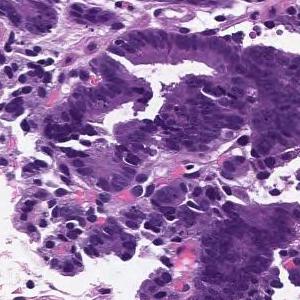
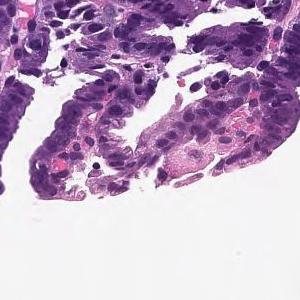
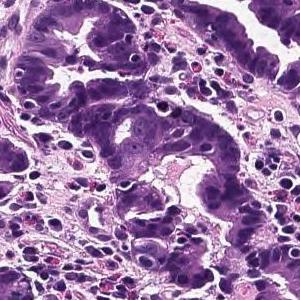
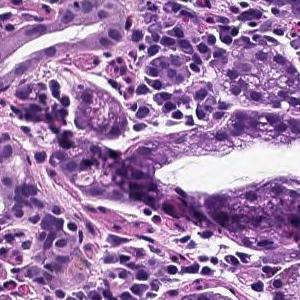
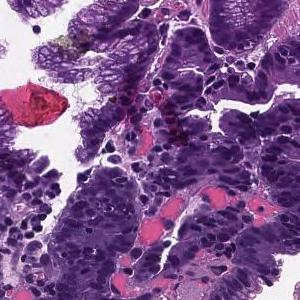
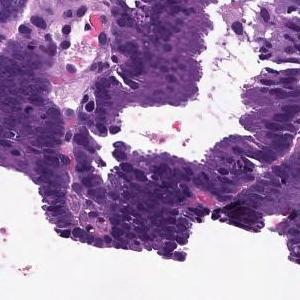
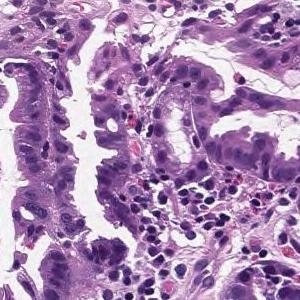
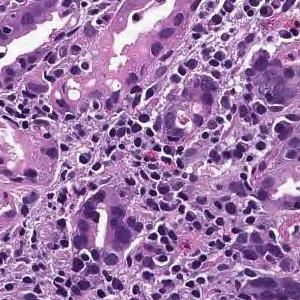
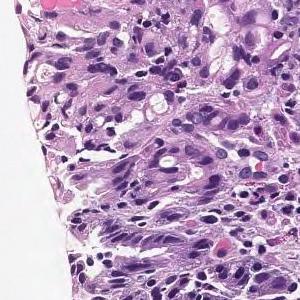
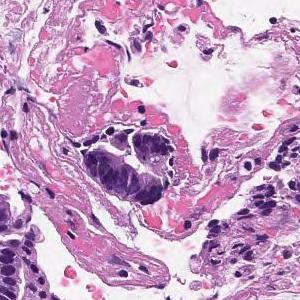
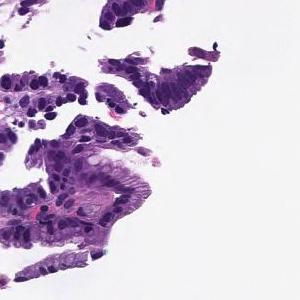
11 tiles cut from one stomach biopsy slide, each 300 × 300 pixels, 20× magnification.
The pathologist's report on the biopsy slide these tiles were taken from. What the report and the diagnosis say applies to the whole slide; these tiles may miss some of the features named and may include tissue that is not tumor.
In the superficial epithelium, tumor tissue that invades by forming medium-sized to small, irregular ducts is observed. moderately differentiated tubular adenocarcinoma.
